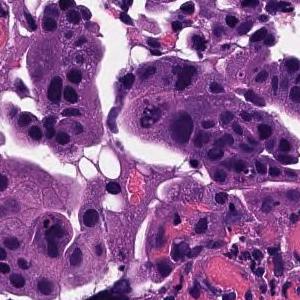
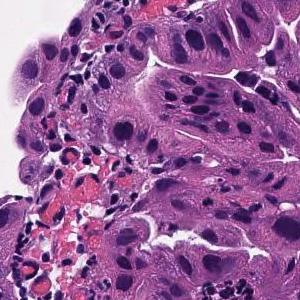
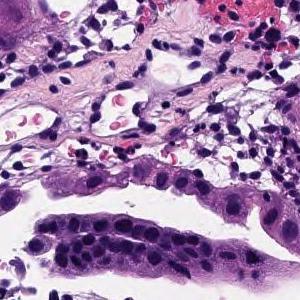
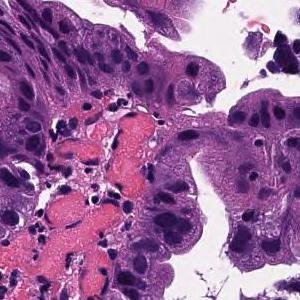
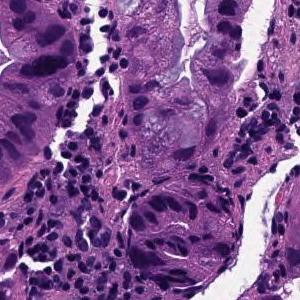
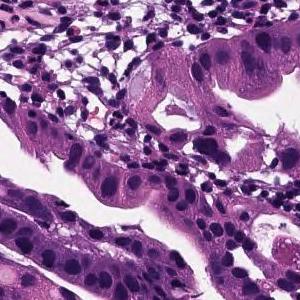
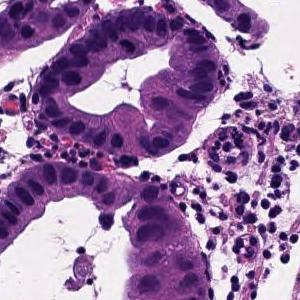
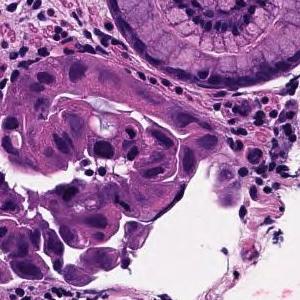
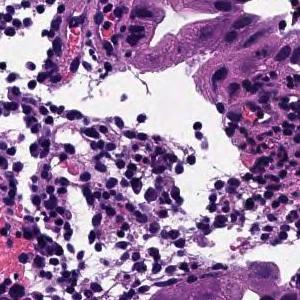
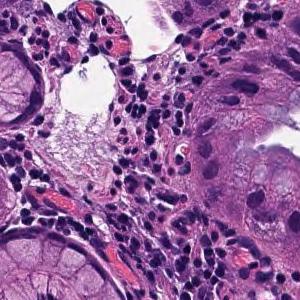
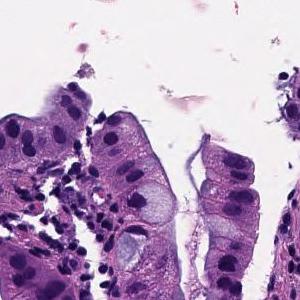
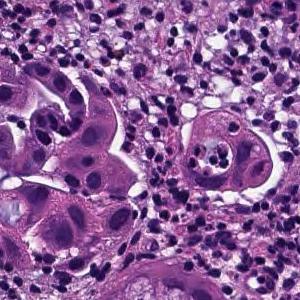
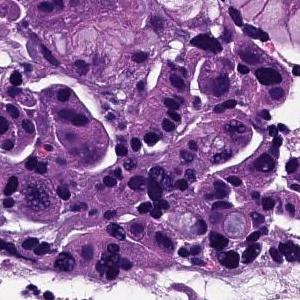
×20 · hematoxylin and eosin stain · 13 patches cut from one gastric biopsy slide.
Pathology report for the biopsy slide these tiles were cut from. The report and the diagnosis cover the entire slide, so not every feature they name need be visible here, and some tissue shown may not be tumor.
Tumor tissue consisting of large papillary structures is found in the superficial epithelium. Papillary adenocarcinoma.
